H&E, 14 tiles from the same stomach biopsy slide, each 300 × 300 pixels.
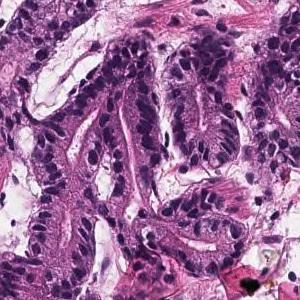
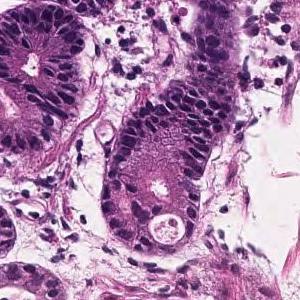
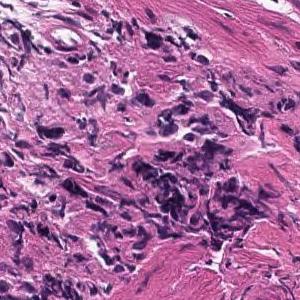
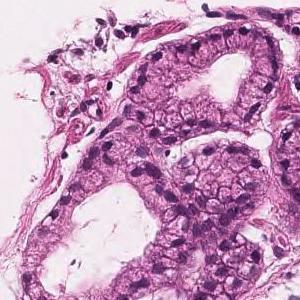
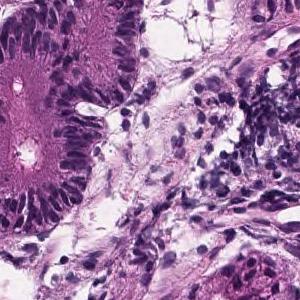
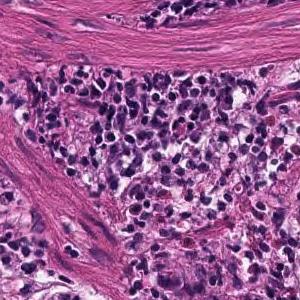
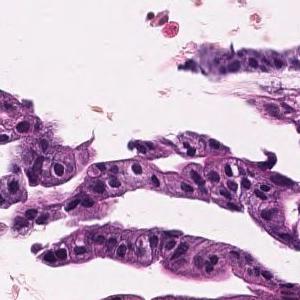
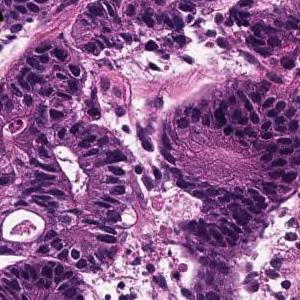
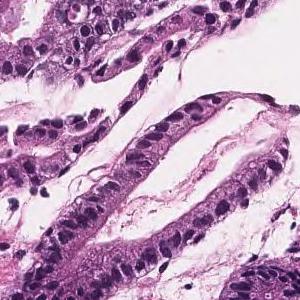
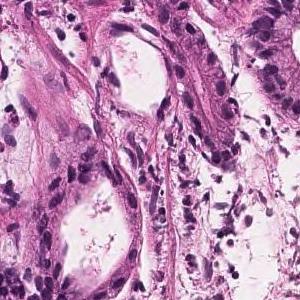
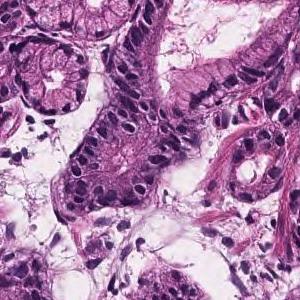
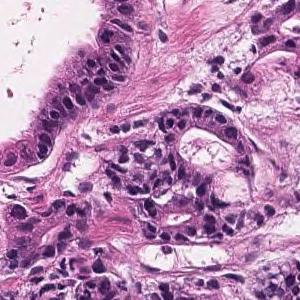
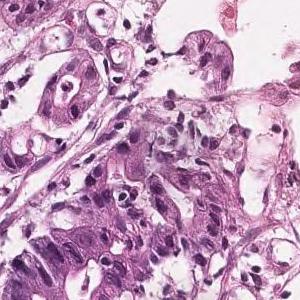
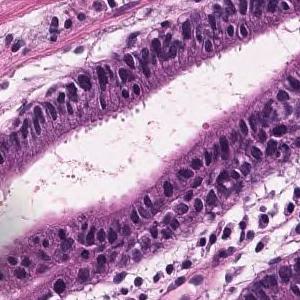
Report on the slide these tiles come from. The findings and the diagnosis refer to the entire slide; these tiles show only part of it, possibly with non-tumor tissue, and may not show every feature named.
Tumor tissue with atypical epithelium showing irregular ductal or sieving ductal structure and proliferating is observed. Well to moderately differentiated tubular adenocarcinoma (well differentiated tubular adenocarcinoma-moderately differentiated tubular adenocarcinoma)
Subtype: Well to moderately differentiated tubular adenocarcinoma.
